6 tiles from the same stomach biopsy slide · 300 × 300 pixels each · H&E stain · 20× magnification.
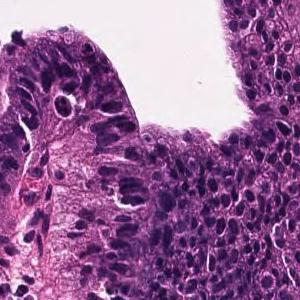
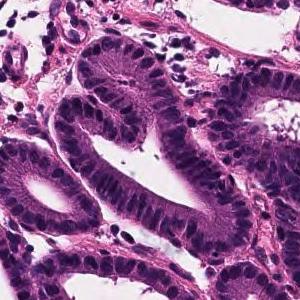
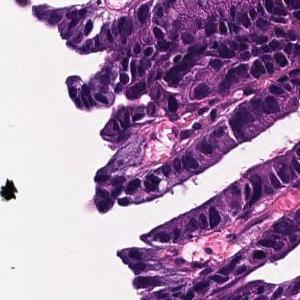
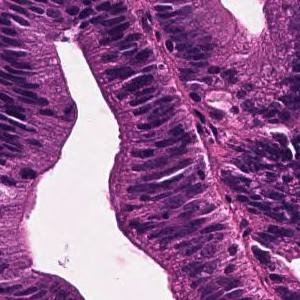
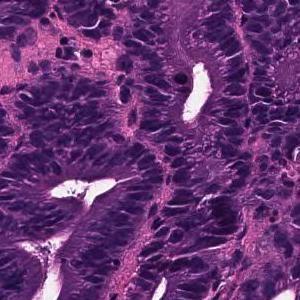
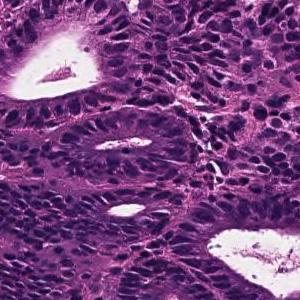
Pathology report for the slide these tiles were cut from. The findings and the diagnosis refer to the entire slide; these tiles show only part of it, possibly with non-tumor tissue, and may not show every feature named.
Tumor tissue that remains within the superficial epithelium and is infiltrated by large papillary or irregular ducts that fuse with each other is observed. Well differentiated tubular adenocarcinoma
